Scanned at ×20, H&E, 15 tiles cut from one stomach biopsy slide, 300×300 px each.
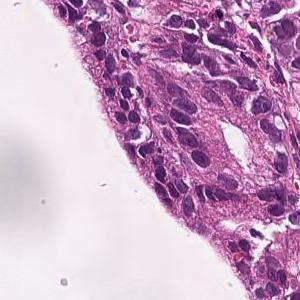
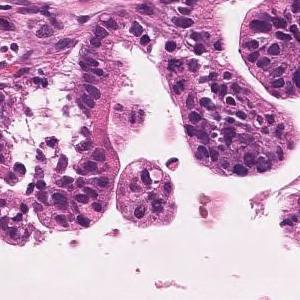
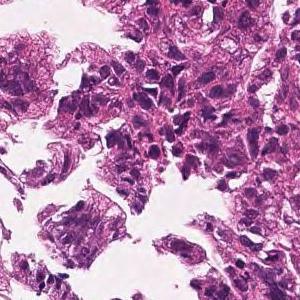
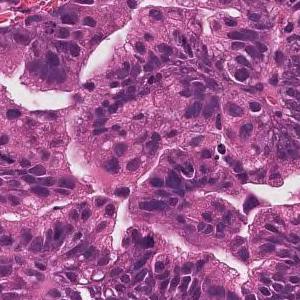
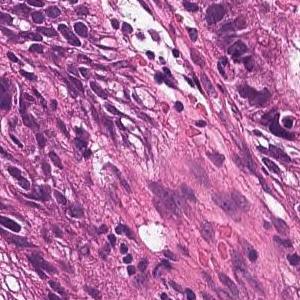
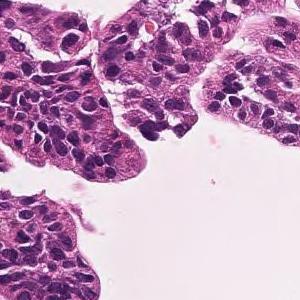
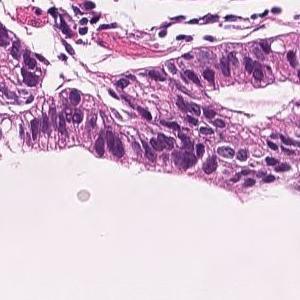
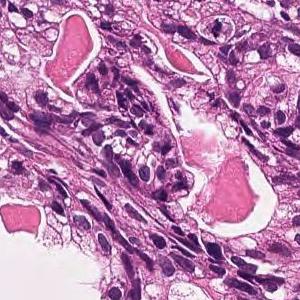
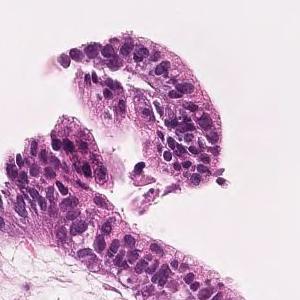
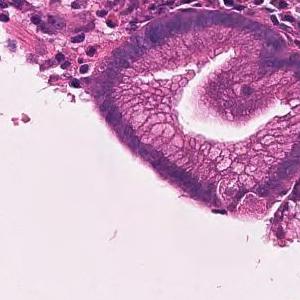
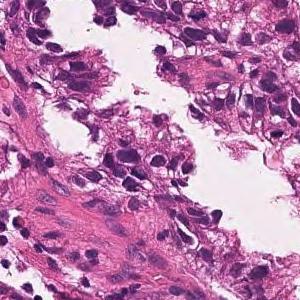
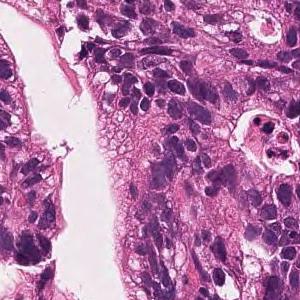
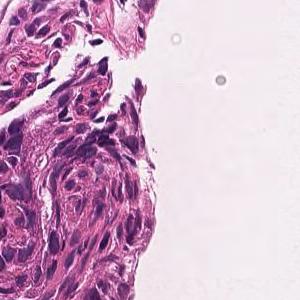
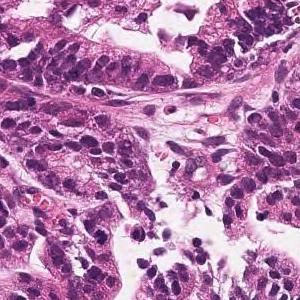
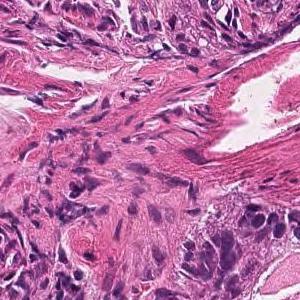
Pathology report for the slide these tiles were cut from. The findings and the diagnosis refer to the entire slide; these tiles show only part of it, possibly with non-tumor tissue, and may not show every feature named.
On the superficial epithelium, tumor tissue consisting of large, irregular glandular ducts partially fused and infiltrated is observed. Well to moderately differentiated tubular adenocarcinoma (well differentiated tubular adenocarcinoma, moderately differentiated tubular adenocarcinoma)
Histological subtype: Well to moderately differentiated tubular adenocarcinoma.
